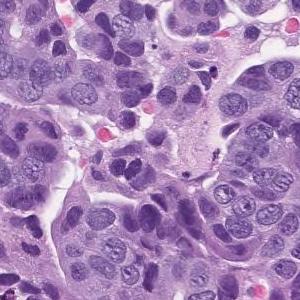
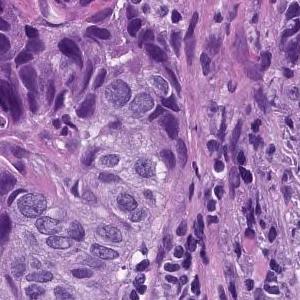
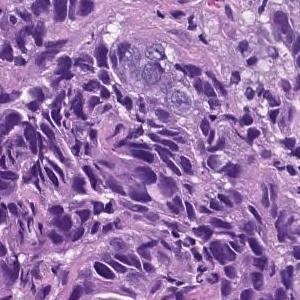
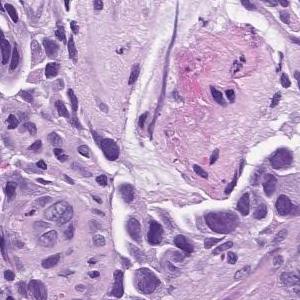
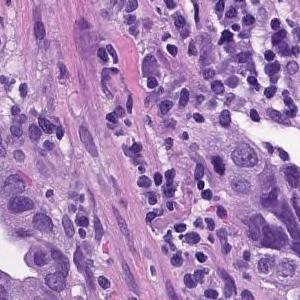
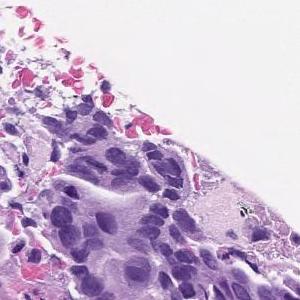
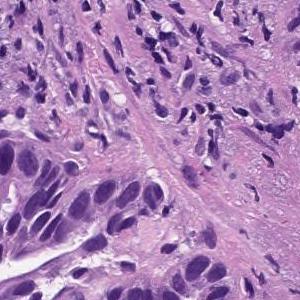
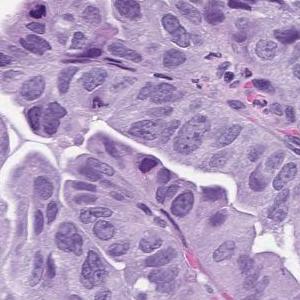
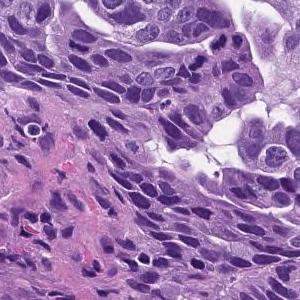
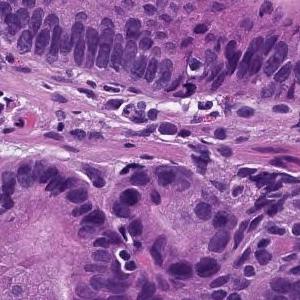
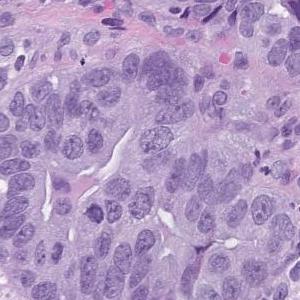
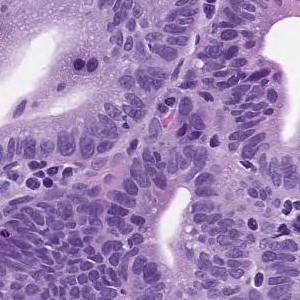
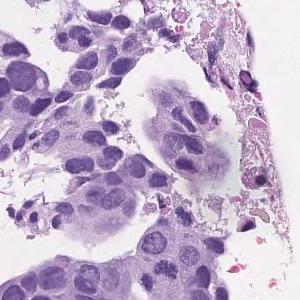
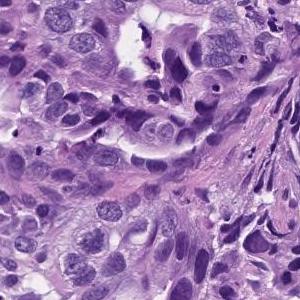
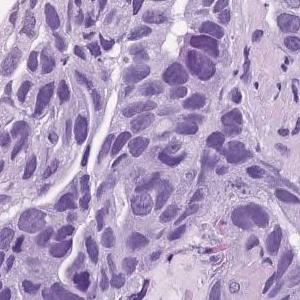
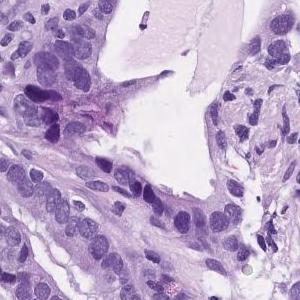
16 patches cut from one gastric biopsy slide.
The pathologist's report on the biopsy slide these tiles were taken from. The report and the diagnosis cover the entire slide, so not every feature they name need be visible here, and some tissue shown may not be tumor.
In the superficial epithelium, tumor tissue that invades by forming medium-sized to small, irregular ducts is observed. moderately differentiated tubular adenocarcinoma.
